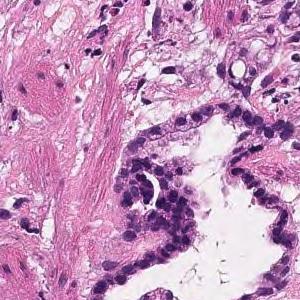
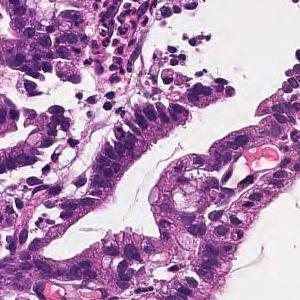
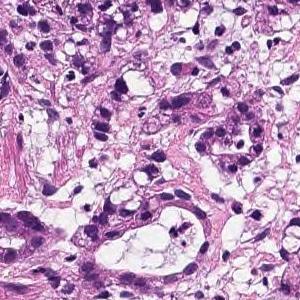
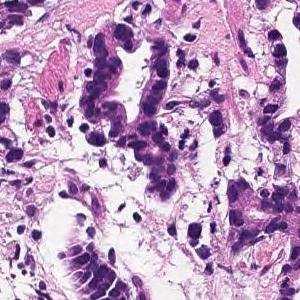
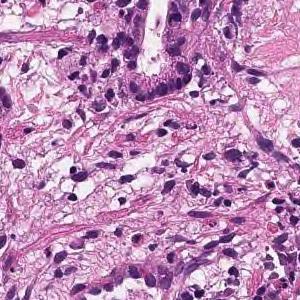
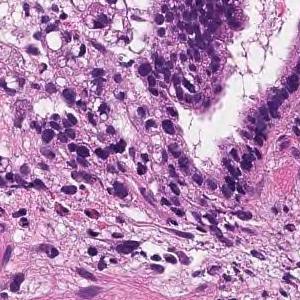
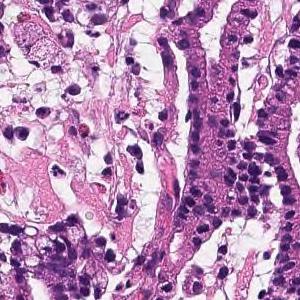
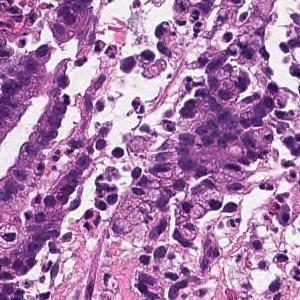
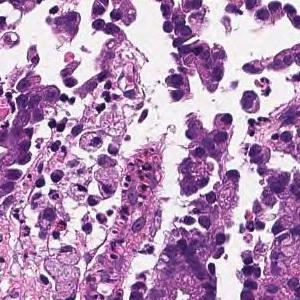
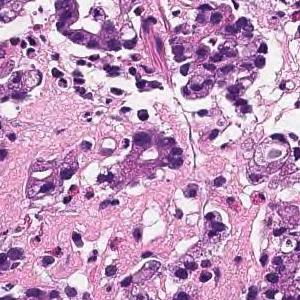
10 image tiles from a single gastric biopsy slide, each 300 × 300 pixels.
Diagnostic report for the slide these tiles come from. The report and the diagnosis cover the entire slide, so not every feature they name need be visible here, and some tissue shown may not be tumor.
In the superficial epithelium, tumor tissue that invades by forming medium-sized to small, irregular ducts is observed. moderately differentiated tubular adenocarcinoma.
